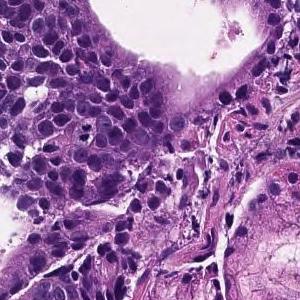
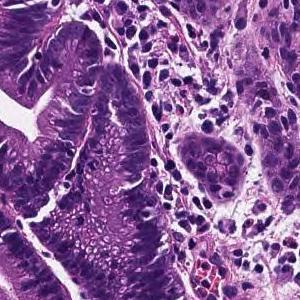
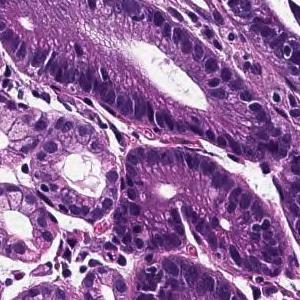
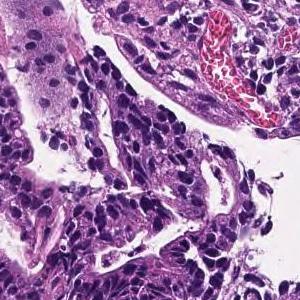
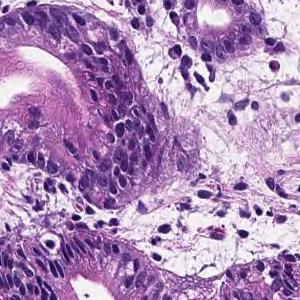
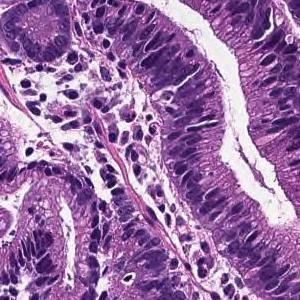
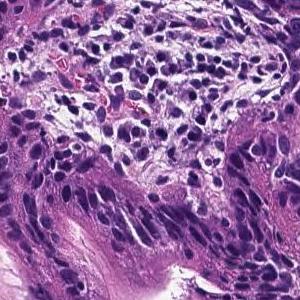
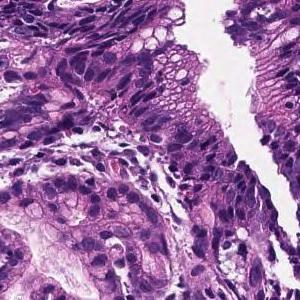
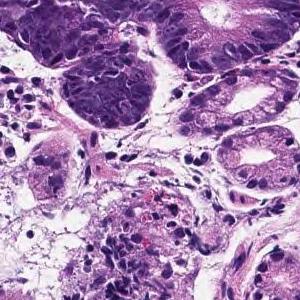
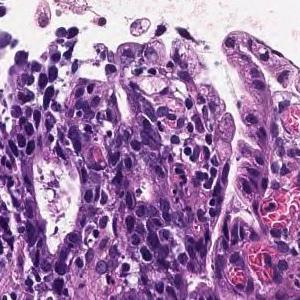
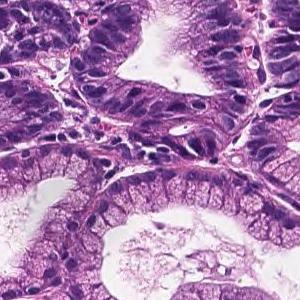
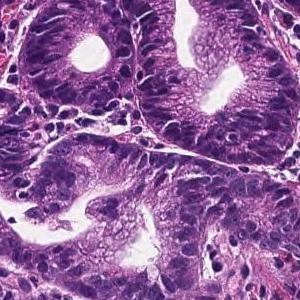
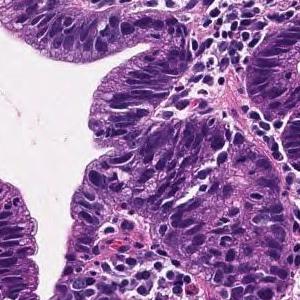
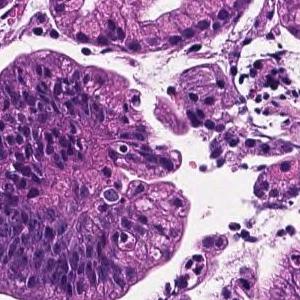
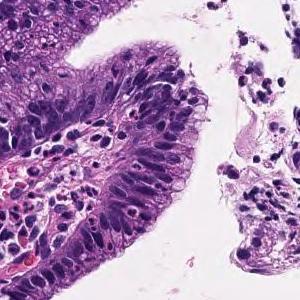
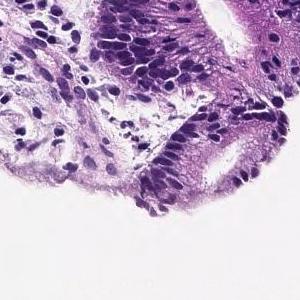
16 tiles cut from one stomach biopsy slide; hematoxylin and eosin stain; ×20.
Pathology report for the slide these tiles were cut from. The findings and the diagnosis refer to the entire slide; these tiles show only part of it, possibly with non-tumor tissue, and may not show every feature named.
From the superficial epithelium to the muscularis mucosae, tumor tissue consisting of medium-sized and irregular glandular ducts infiltrating is observed. Well differentiated tubular adenocarcinoma
